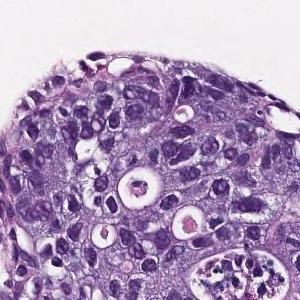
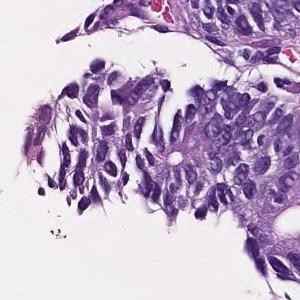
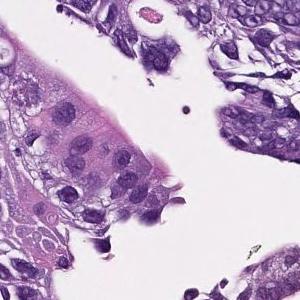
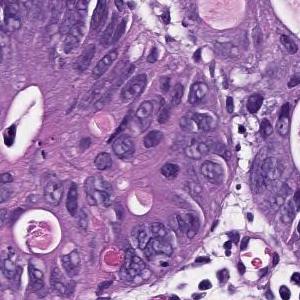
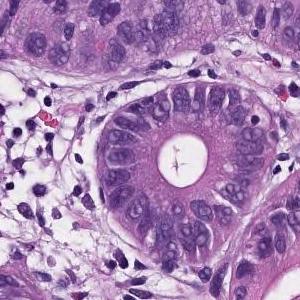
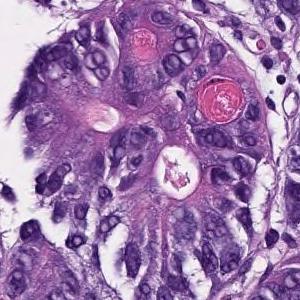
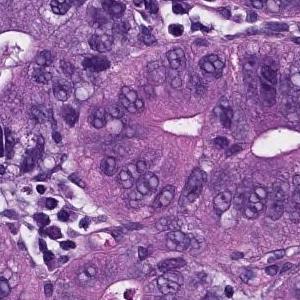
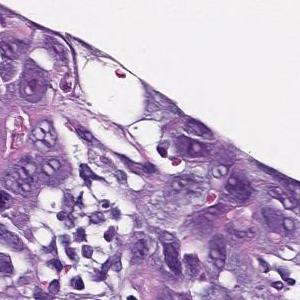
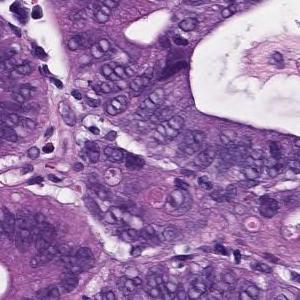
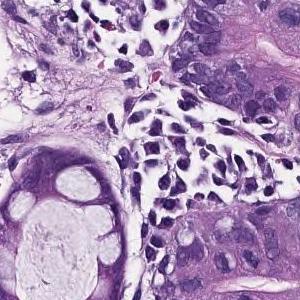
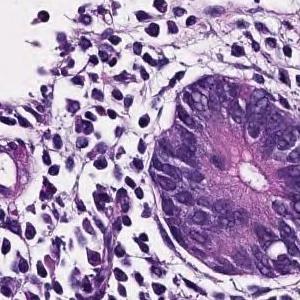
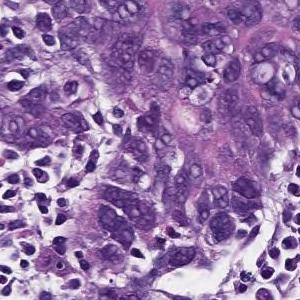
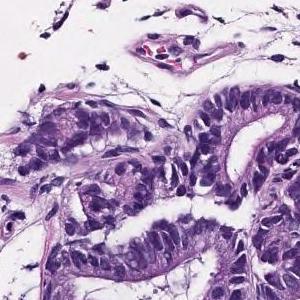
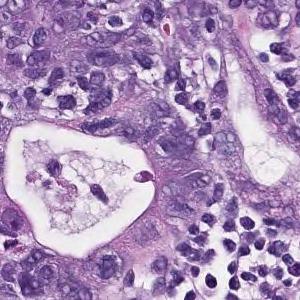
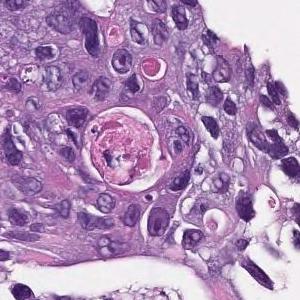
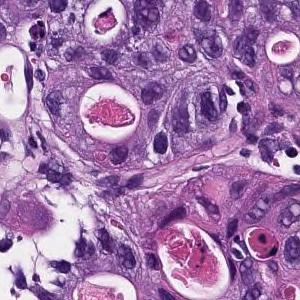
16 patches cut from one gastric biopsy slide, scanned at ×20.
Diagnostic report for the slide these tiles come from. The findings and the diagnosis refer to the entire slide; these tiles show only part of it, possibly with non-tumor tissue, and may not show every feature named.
In the superficial epithelium, tumor tissue that invades by forming medium-sized to small, irregular ducts is observed. moderately differentiated tubular adenocarcinoma.
